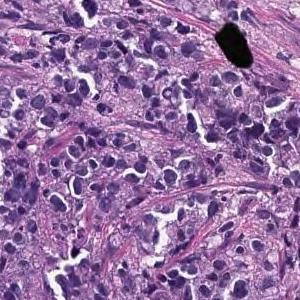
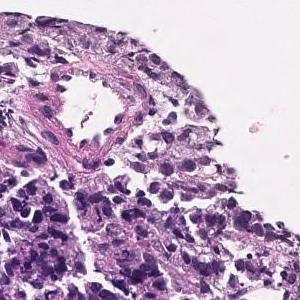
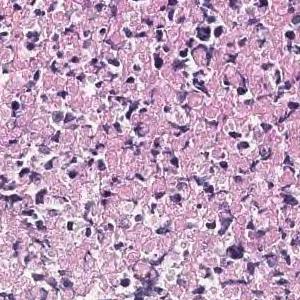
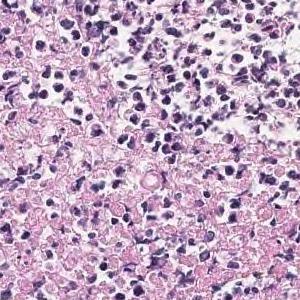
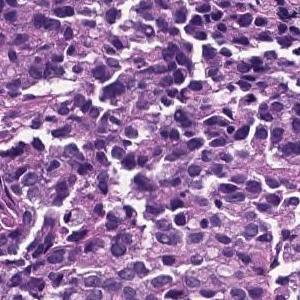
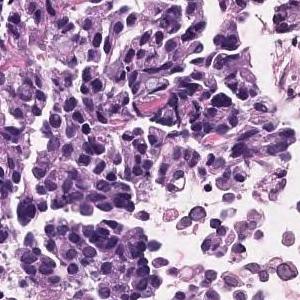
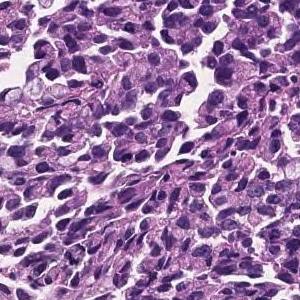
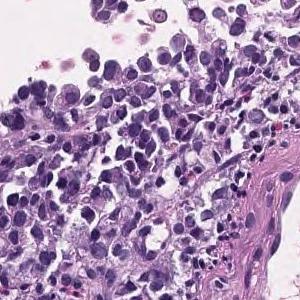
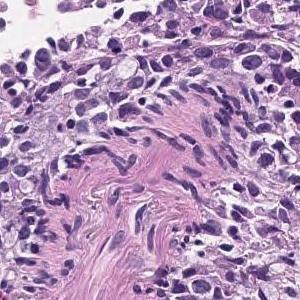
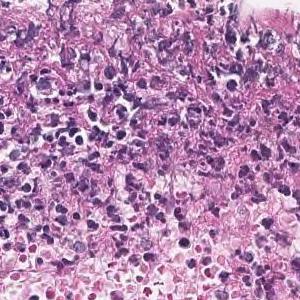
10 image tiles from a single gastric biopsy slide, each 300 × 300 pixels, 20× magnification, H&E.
Report on the slide these tiles come from. Both the report and the diagnosis are for the whole slide: these tiles need not show every feature named, and some of the tissue shown may not be tumor.
The superficial epithelium shows a large sheet-like shape, and some tumor tissue infiltrates with small irregular ducts. Poorly differentiated adenocarcinoma, solid-type
Histological subtype: Poorly differentiated adenocarcinoma, solid type. This name comes from the Japanese Classification of Gastric Carcinoma; the WHO 2019 classification calls it tubular adenocarcinoma, poorly differentiated.
